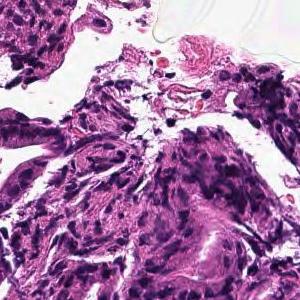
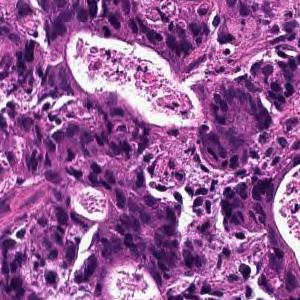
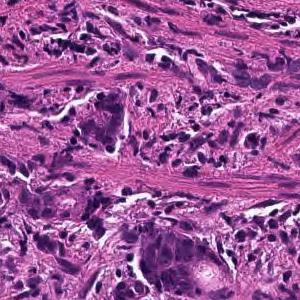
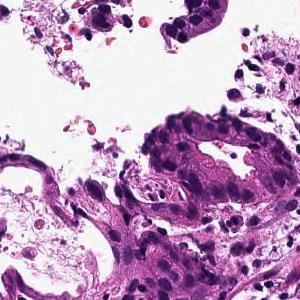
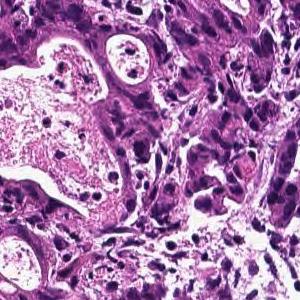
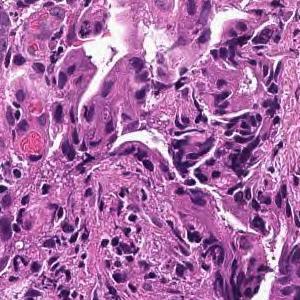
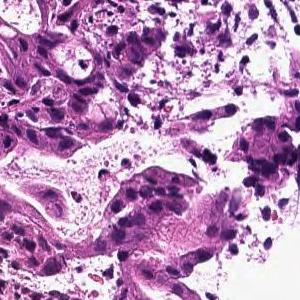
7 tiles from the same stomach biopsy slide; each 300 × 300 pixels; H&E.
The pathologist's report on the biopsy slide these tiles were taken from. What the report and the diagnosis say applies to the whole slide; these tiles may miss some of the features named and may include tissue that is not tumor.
In the superficial epithelium, tumor tissue that invades by forming medium-sized to small, irregular ducts is observed. moderately differentiated tubular adenocarcinoma.
